10 tiles cut from one stomach biopsy slide, 300×300 px each, scanned at ×20, H&E stain.
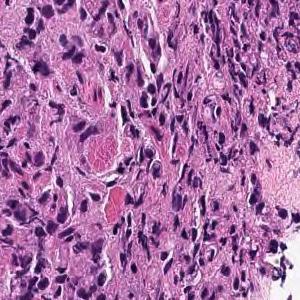
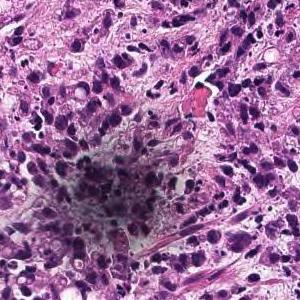
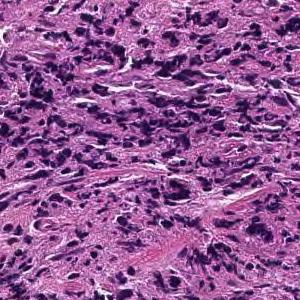
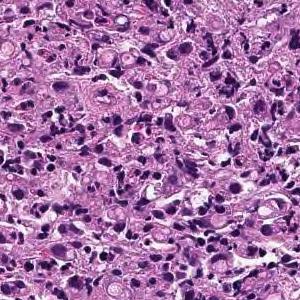
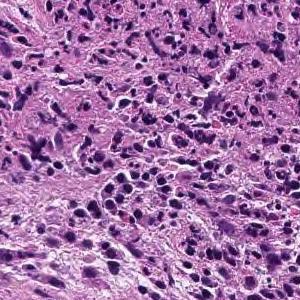
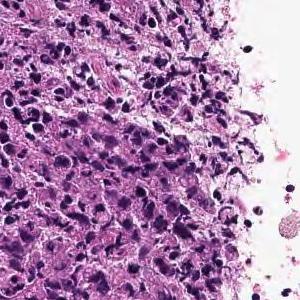
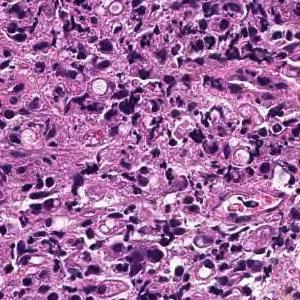
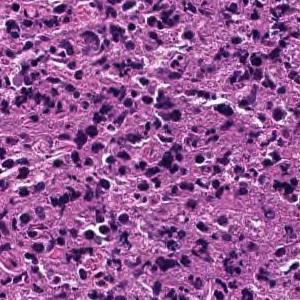
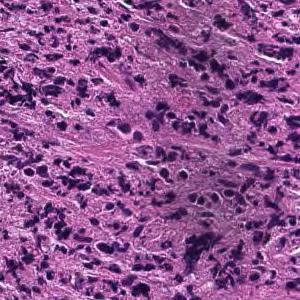
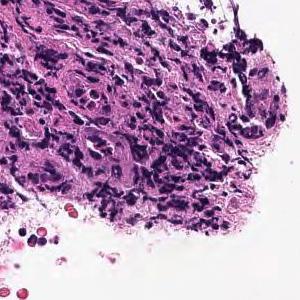
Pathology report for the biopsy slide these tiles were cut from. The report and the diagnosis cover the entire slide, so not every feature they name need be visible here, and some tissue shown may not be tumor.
Large sheet-like or diffusely infiltrating tumor tissue is found in the superficial epithelium. Poorly differentiated adenocarcinoma, solid-type
Classified as poorly differentiated adenocarcinoma, solid type (Japanese Classification of Gastric Carcinoma). The WHO 2019 equivalent is tubular adenocarcinoma, poorly differentiated.
